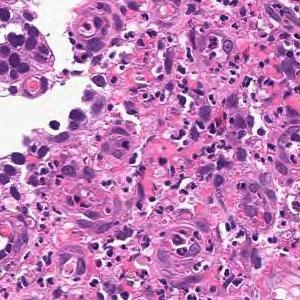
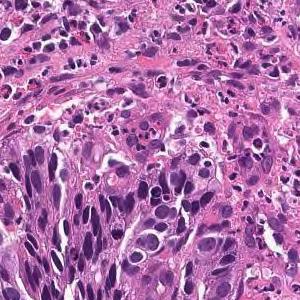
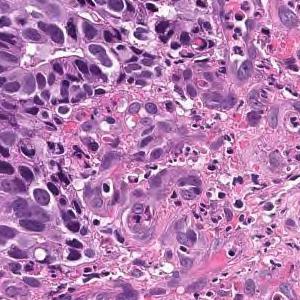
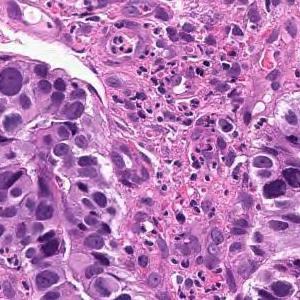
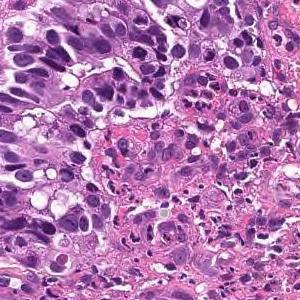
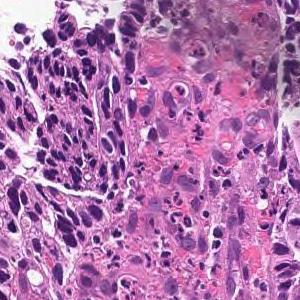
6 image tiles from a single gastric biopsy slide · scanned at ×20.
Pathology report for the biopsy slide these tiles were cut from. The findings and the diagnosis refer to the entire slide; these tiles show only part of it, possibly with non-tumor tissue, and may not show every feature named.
On the superficial epithelium, tumor tissue consisting of large irregular glandular ducts partially fused and infiltrated is observed. Well to moderately differentiated tubular adenocarcinoma (well differentiated tubular adenocarcinoma, moderately differentiated tubular adenocarcinoma)
Histological subtype: Well to moderately differentiated tubular adenocarcinoma.
